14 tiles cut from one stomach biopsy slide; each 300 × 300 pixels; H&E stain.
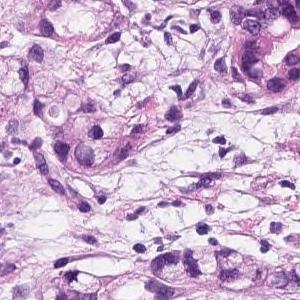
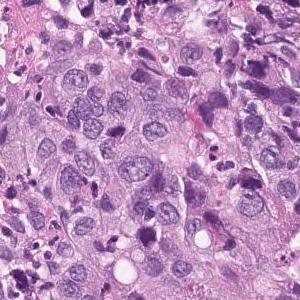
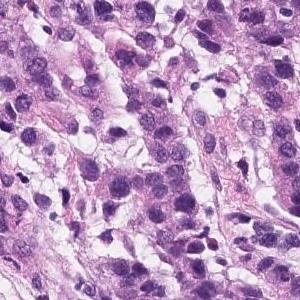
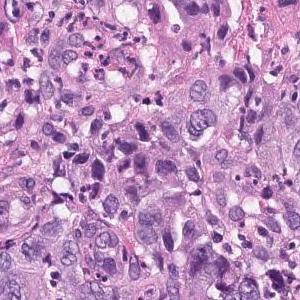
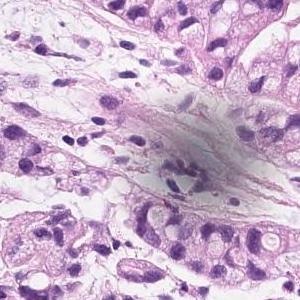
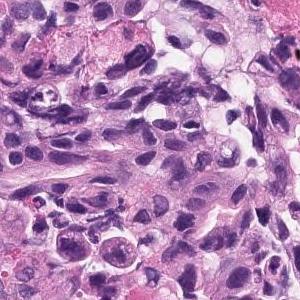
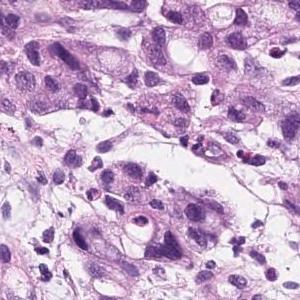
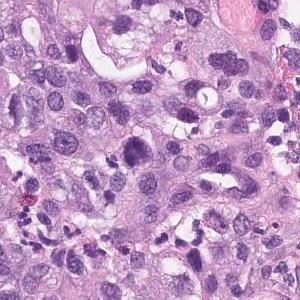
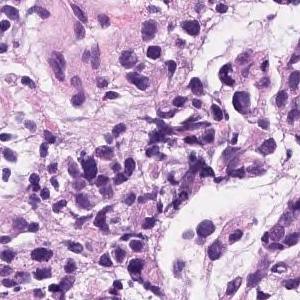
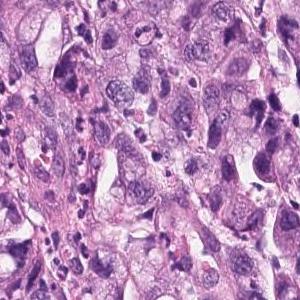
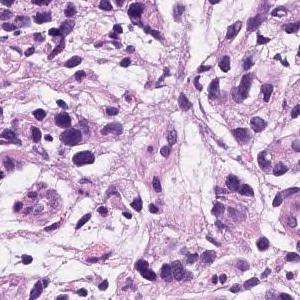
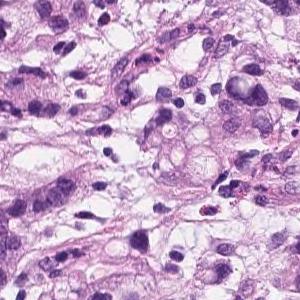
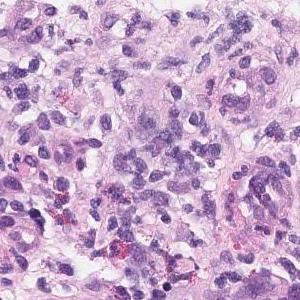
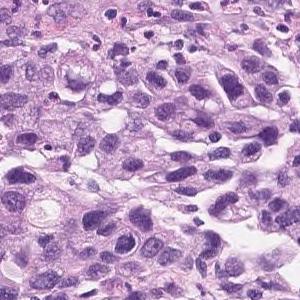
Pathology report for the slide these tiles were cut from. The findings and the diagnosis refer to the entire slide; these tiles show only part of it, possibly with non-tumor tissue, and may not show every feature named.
Group 5, Adenocarcinoma. Poorly differentiated adenocarcinoma, non-solid type
The non-solid type named here is a Japanese Classification of Gastric Carcinoma category.
